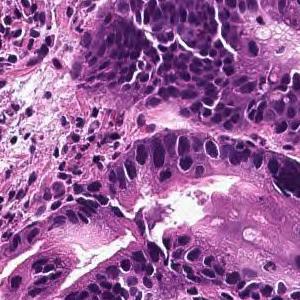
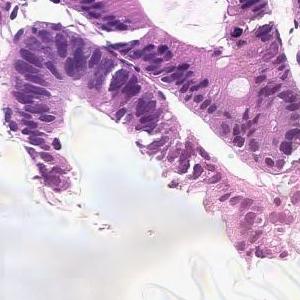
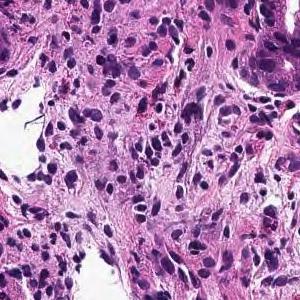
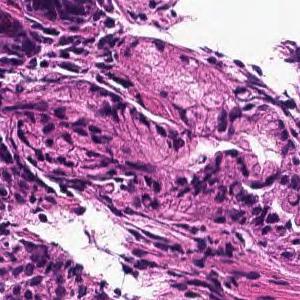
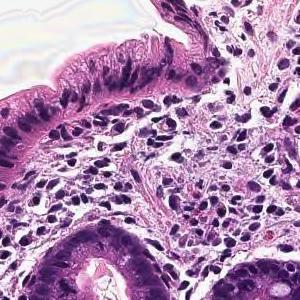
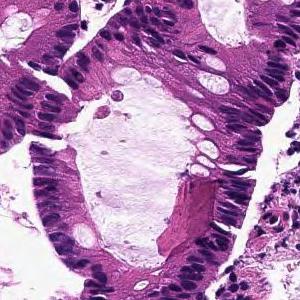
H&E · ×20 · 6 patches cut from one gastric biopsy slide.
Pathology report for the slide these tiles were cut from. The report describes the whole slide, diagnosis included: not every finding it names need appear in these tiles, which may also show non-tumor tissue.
From the superficial epithelium to the muscularis mucosae, tumor tissue consisting of medium-sized and irregular glandular ducts infiltrating is observed. Well differentiated tubular adenocarcinoma
